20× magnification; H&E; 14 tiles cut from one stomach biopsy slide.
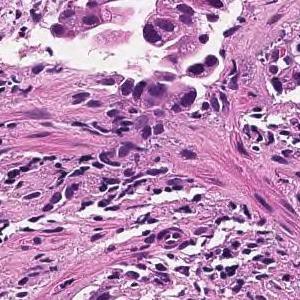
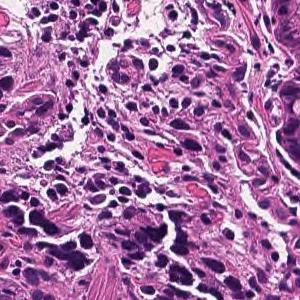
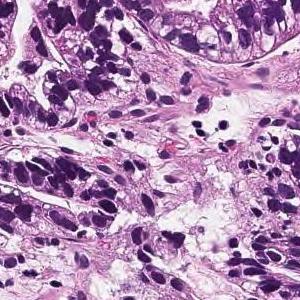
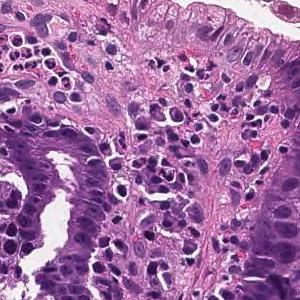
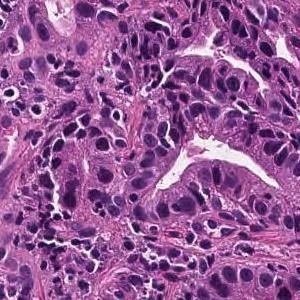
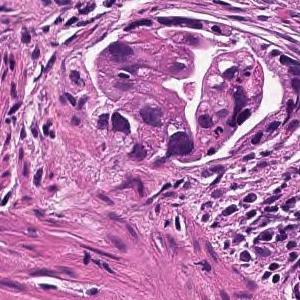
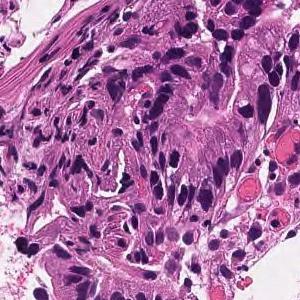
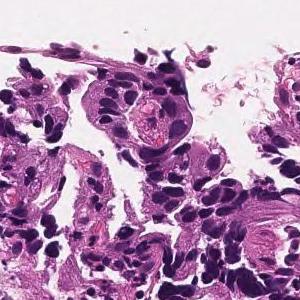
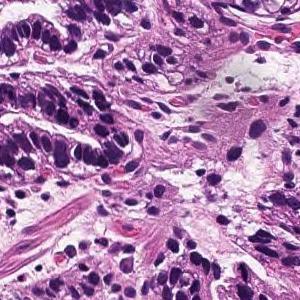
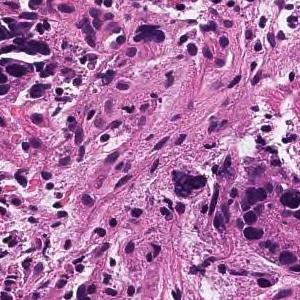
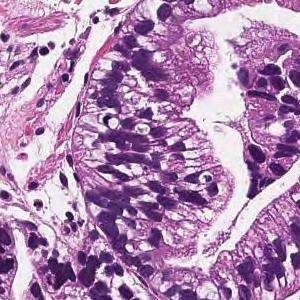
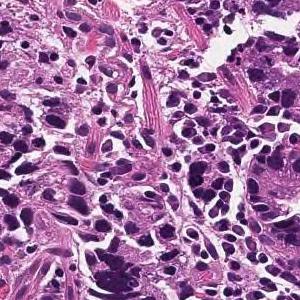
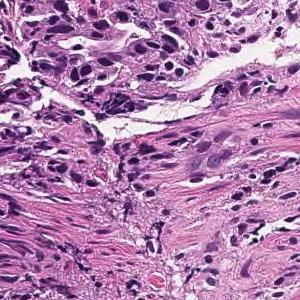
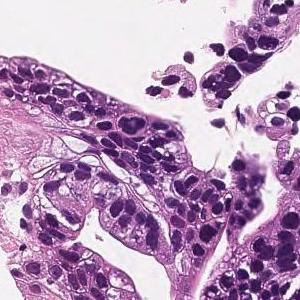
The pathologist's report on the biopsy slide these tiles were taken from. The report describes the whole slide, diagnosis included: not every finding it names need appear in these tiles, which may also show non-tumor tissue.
On the superficial epithelium, tumor tissue is found in which medium-sized irregular gland ducts fuse with each other and infiltrate. moderately differentiated tubular adenocarcinoma or Poorly differentiated adenocarcinoma, non-solid type
Tumor subtype: moderately to poorly differentiated adenocarcinoma.
The non-solid type named here is a Japanese Classification of Gastric Carcinoma category.
